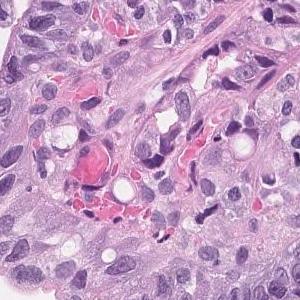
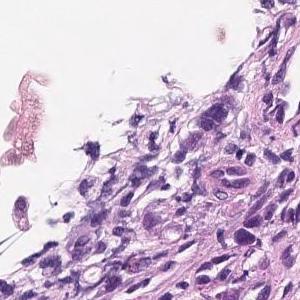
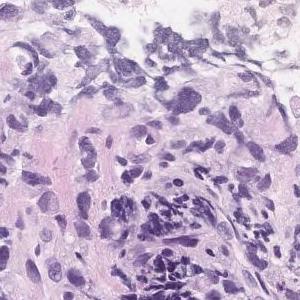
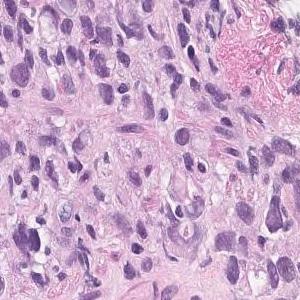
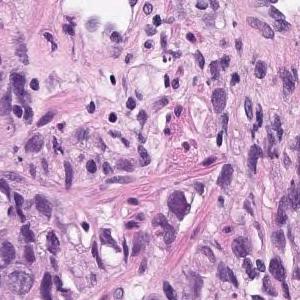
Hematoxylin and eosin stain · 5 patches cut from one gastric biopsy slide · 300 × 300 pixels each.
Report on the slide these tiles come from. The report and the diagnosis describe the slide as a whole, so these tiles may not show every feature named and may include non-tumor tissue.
Tumor tissue consisting of medium-sized, cord-like or irregular glandular infiltration is observed in the superficial epithelium. Poorly differentiated adenocarcinoma, non-solid type or moderately differentiated tubular adenocarcinoma
The dataset labels this slide poorly differentiated adenocarcinoma, non-solid type.
"Non-solid type" is a category of the Japanese Classification of Gastric Carcinoma.
